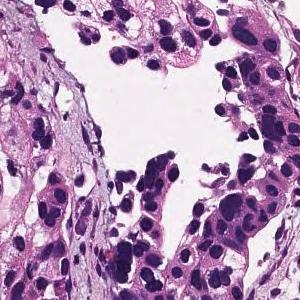
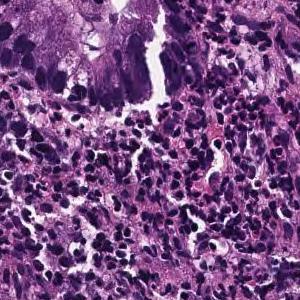
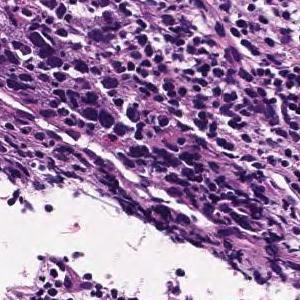
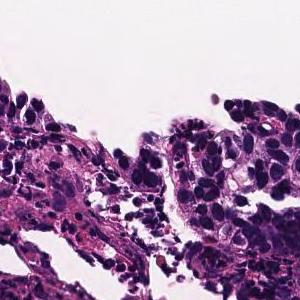
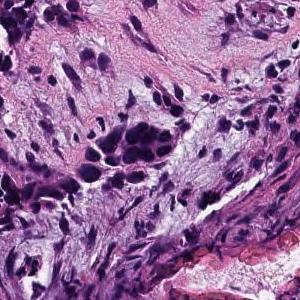
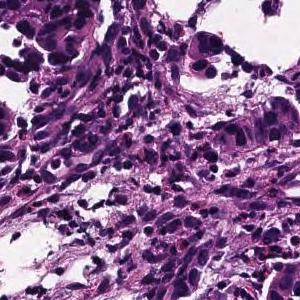
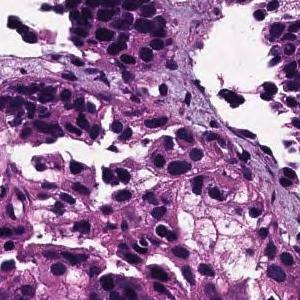
7 patches cut from one gastric biopsy slide · 20× magnification · H&E stain.
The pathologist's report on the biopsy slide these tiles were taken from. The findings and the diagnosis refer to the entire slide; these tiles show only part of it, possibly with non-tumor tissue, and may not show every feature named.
Medium to small, irregular glandular ducts are formed in the superficial epithelium, and in some cases, the glandular ducts are fused to show solid alveolar lesions and infiltrating tumor tissue is observed. Moderately to poorly differentiated adenocarcinoma.
